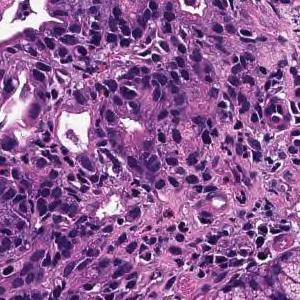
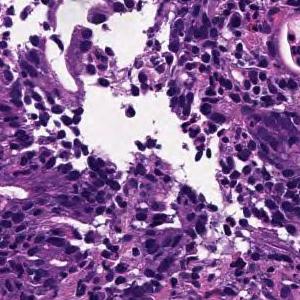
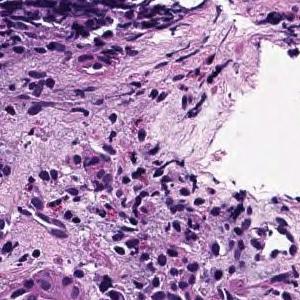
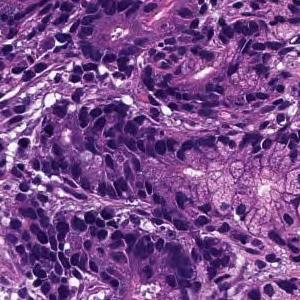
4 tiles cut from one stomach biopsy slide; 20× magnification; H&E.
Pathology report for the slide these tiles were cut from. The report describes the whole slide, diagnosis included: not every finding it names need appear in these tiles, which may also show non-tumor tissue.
In the superficial epithelium, tumor tissue that invades by forming medium-sized to small, irregular ducts is observed. moderately differentiated tubular adenocarcinoma.
